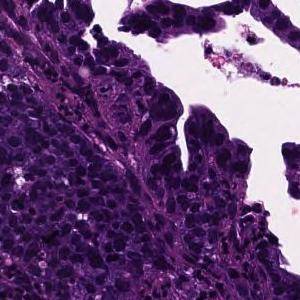
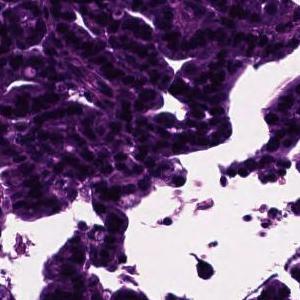
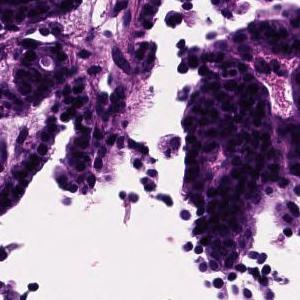
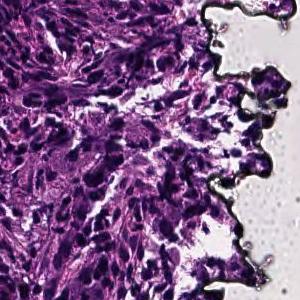
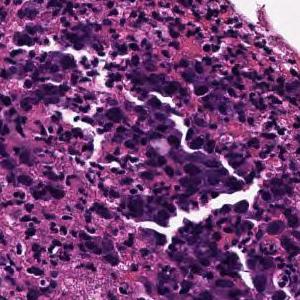
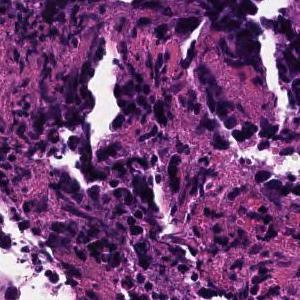
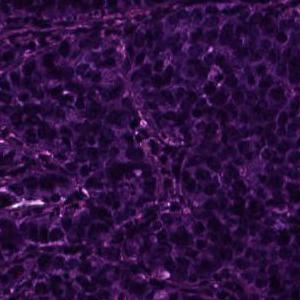
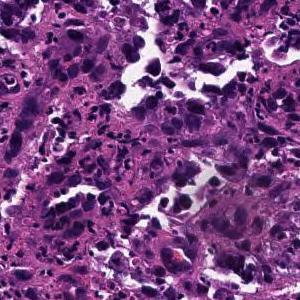
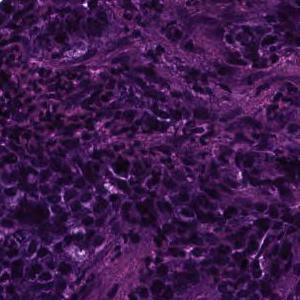
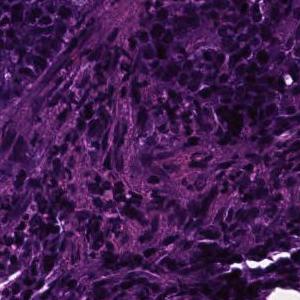
×20; H&E; 10 patches cut from one gastric biopsy slide; each 300 × 300 pixels.
Diagnostic report for the slide these tiles come from. Both the report and the diagnosis are for the whole slide: these tiles need not show every feature named, and some of the tissue shown may not be tumor.
In the superficial epithelium, tumor tissue that invades by forming medium-sized to small, irregular ducts is observed. moderately differentiated tubular adenocarcinoma.
